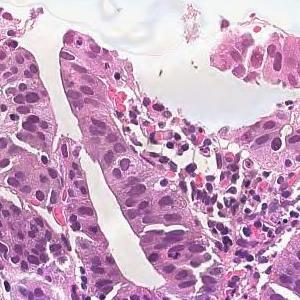
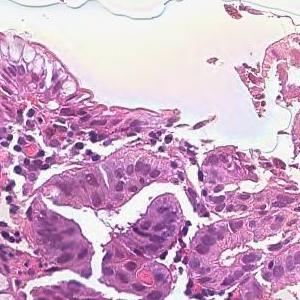
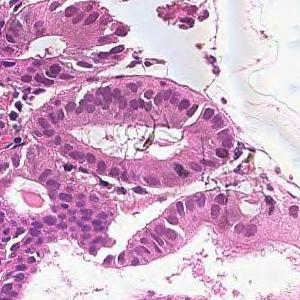
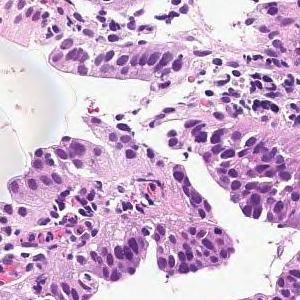
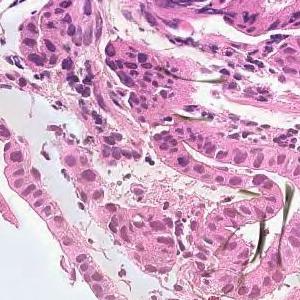
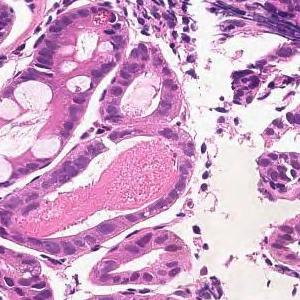
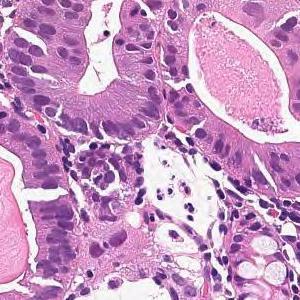
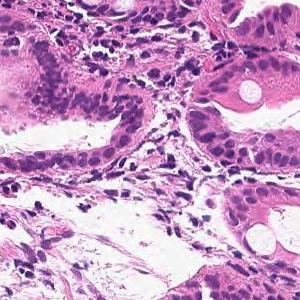
8 image tiles from a single gastric biopsy slide, scanned at ×20.
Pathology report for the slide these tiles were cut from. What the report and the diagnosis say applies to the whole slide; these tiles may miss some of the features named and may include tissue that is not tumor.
From the superficial epithelium to the muscularis mucosae, tumor tissue consisting of medium-sized and irregular glandular ducts infiltrating is observed. Well differentiated tubular adenocarcinoma
